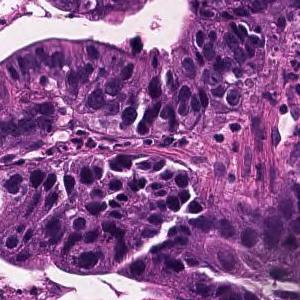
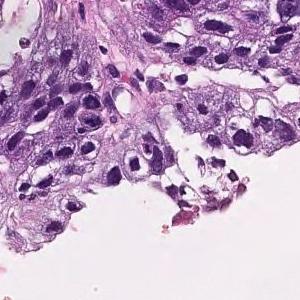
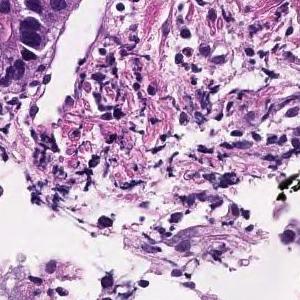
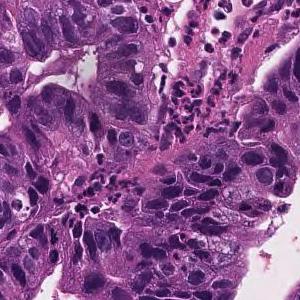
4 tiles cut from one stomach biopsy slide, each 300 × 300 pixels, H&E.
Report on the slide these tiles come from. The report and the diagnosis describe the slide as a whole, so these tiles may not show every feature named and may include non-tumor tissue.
Tumor cells are large, highly columnar, large club-shaped nuclei, and are associated with chromatin aggregation. Papillary adenocarcinoma.
